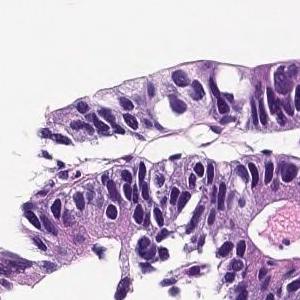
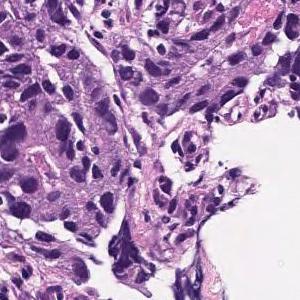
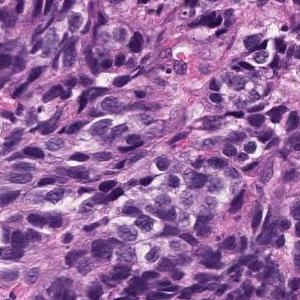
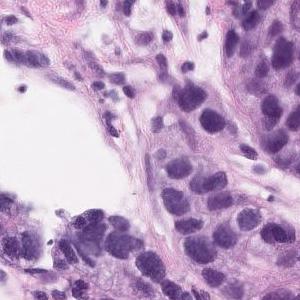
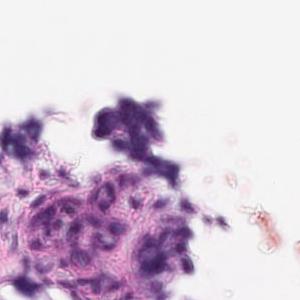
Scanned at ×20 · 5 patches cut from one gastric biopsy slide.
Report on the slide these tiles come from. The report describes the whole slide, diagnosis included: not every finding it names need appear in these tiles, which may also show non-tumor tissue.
Medium to small, irregular glandular ducts are formed in the superficial epithelium, and in some cases, the glandular ducts are fused to show solid alveolar lesions and infiltrating tumor tissue is observed. Moderately to poorly differentiated adenocarcinoma.
